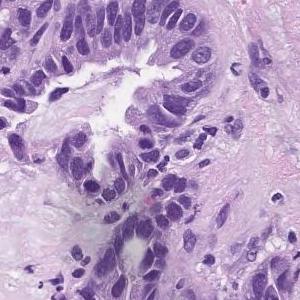
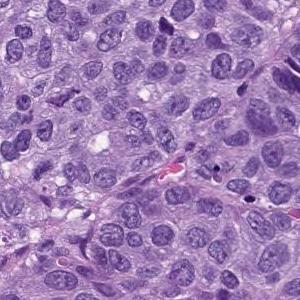
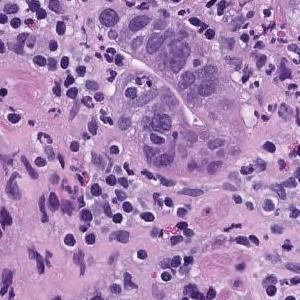
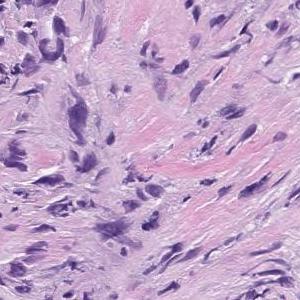
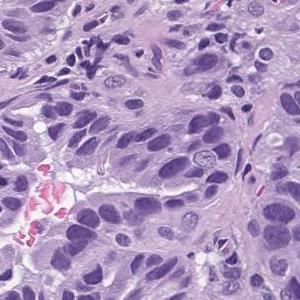
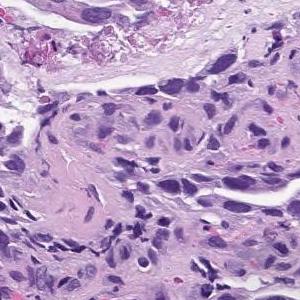
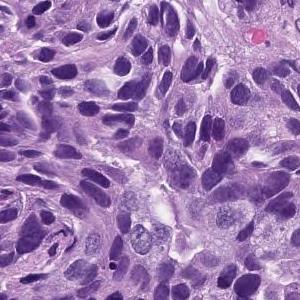
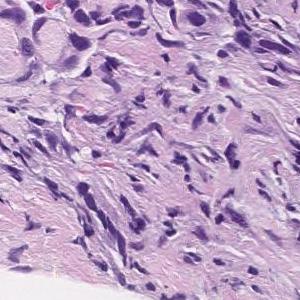
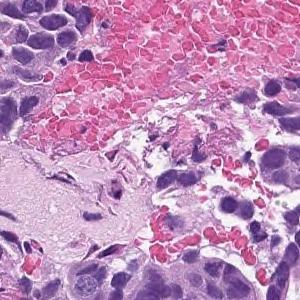
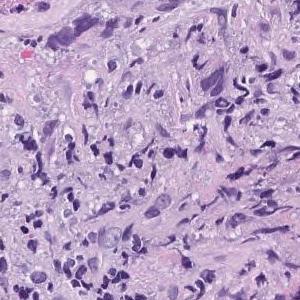
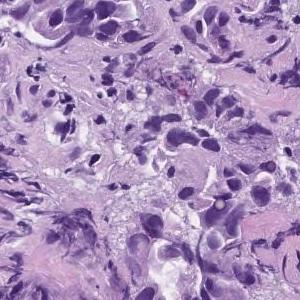
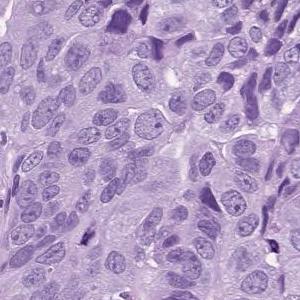
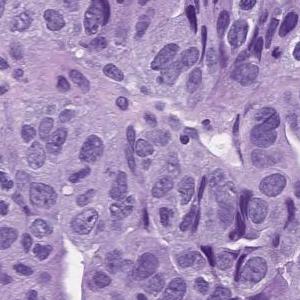
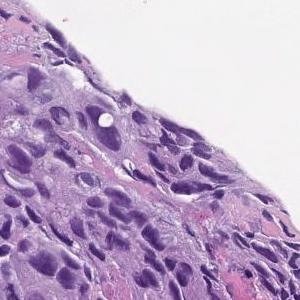
14 tiles from the same stomach biopsy slide, 300 × 300 pixels each, scanned at ×20, H&E.
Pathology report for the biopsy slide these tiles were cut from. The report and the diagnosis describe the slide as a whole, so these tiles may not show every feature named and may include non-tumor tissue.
In the superficial epithelium, tumor tissue that invades by forming medium-sized to small, irregular ducts is observed. moderately differentiated tubular adenocarcinoma.
